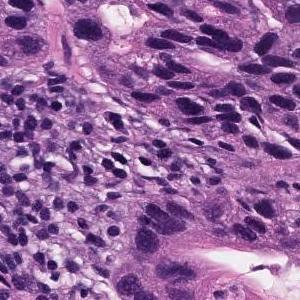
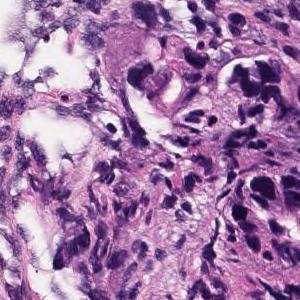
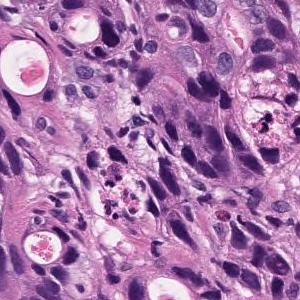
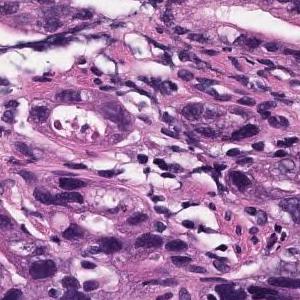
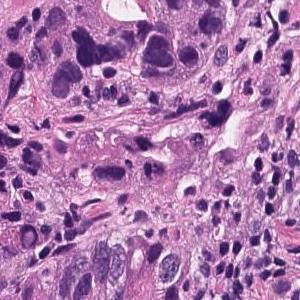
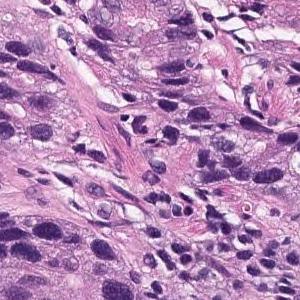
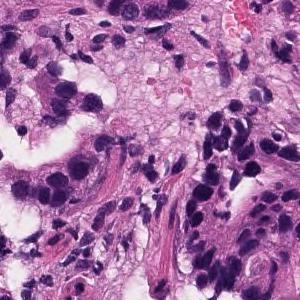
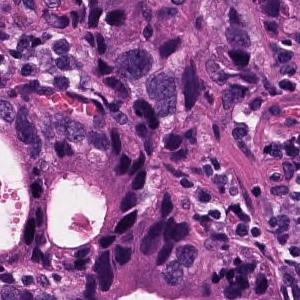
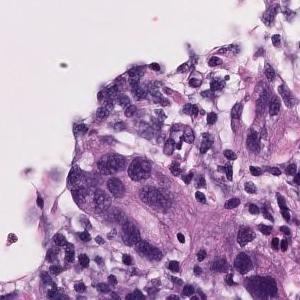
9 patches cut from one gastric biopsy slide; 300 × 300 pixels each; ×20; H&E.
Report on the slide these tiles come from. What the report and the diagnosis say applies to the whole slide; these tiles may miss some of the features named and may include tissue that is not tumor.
In the superficial epithelium, tumor tissue that invades by forming medium-sized to small, irregular ducts is observed. Moderately differentiated adenocarcinoma.
Tumor subtype: moderately differentiated tubular adenocarcinoma.
